×20; H&E stain; 8 tiles from the same stomach biopsy slide; 300 × 300 pixels each.
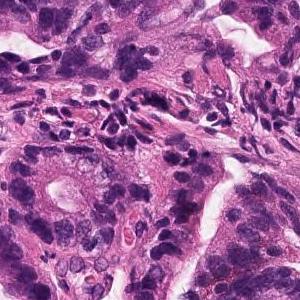
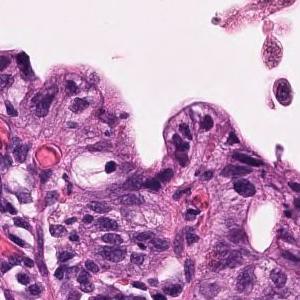
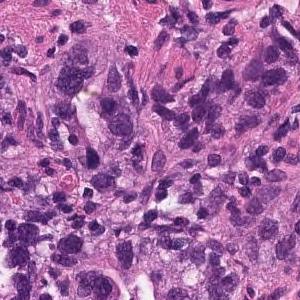
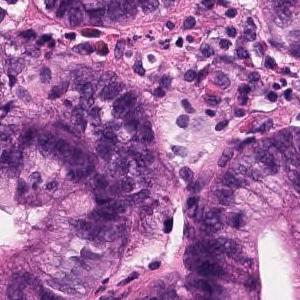
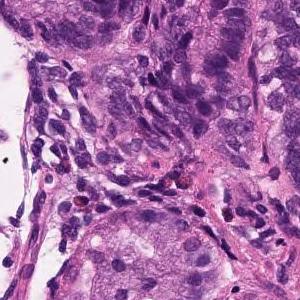
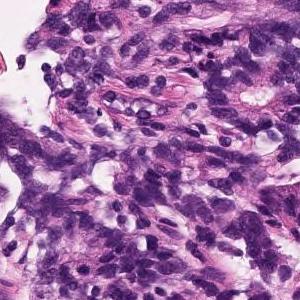
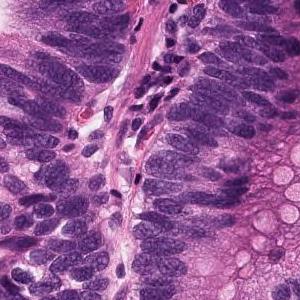
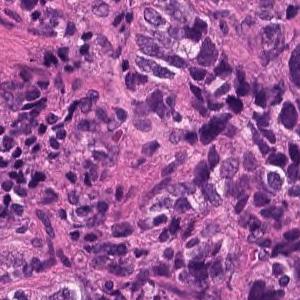
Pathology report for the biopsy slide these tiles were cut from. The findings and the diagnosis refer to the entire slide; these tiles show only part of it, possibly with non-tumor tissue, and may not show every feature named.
In the superficial epithelium, tumor tissue that invades by forming medium-sized to small, irregular ducts is observed. Moderately differentiated adenocarcinoma.
Histological subtype: Moderately differentiated tubular adenocarcinoma.
